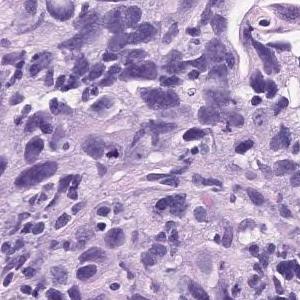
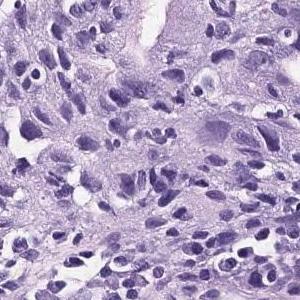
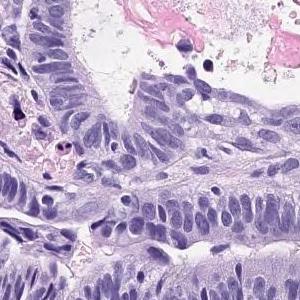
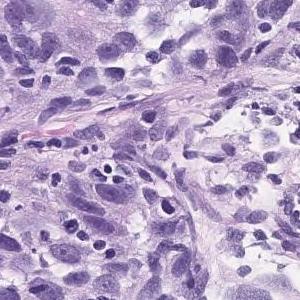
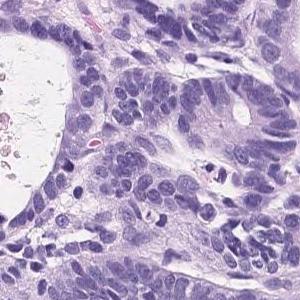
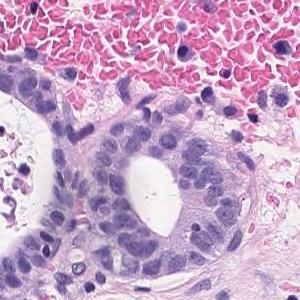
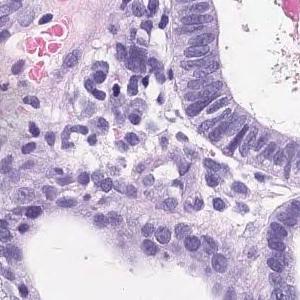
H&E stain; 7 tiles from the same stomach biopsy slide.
The pathologist's report on the biopsy slide these tiles were taken from. What the report and the diagnosis say applies to the whole slide; these tiles may miss some of the features named and may include tissue that is not tumor.
The superficial epithelium shows a large sheet-like shape, and some tumor tissue infiltrates with small irregular ducts. Poorly differentiated adenocarcinoma, solid-type
Histological subtype: Poorly differentiated adenocarcinoma, solid type. This name comes from the Japanese Classification of Gastric Carcinoma; the WHO 2019 classification calls it tubular adenocarcinoma, poorly differentiated.
